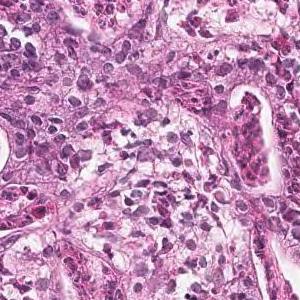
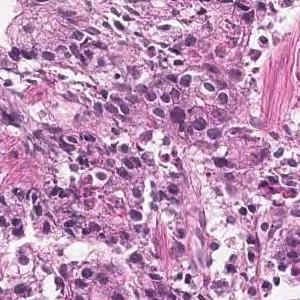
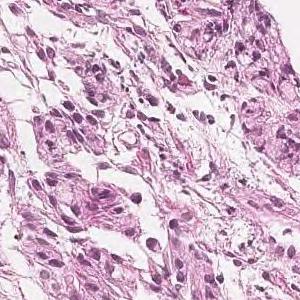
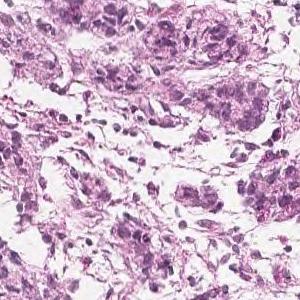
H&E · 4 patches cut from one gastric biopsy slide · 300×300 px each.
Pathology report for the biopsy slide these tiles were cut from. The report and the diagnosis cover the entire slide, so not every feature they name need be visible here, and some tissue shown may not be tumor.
Tumor tissue consisting of medium-sized, cord-like or irregular glandular infiltration is observed in the superficial epithelium. Poorly differentiated adenocarcinoma, non-solid type or moderately differentiated tubular adenocarcinoma
"Non-solid type" is a category of the Japanese Classification of Gastric Carcinoma.
